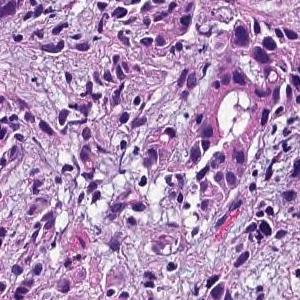
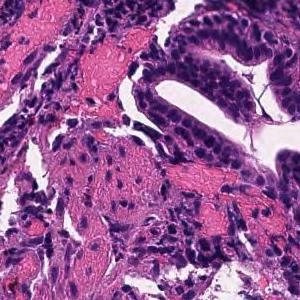
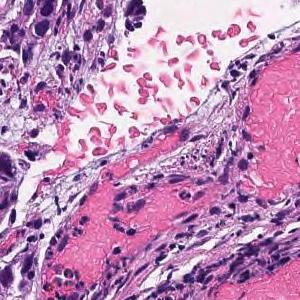
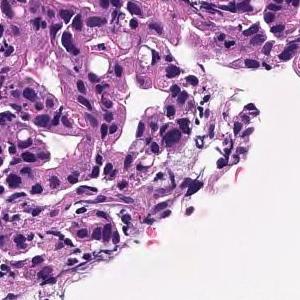
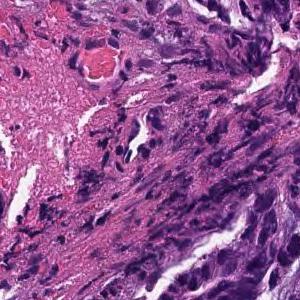
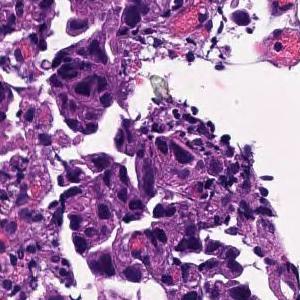
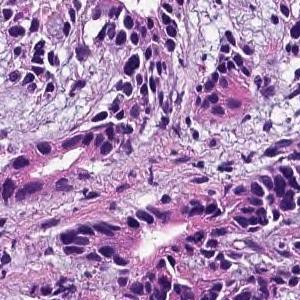
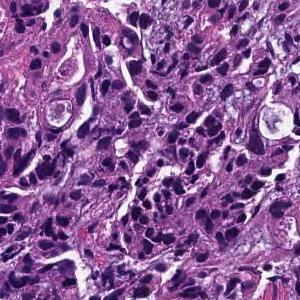
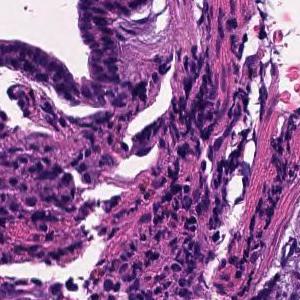
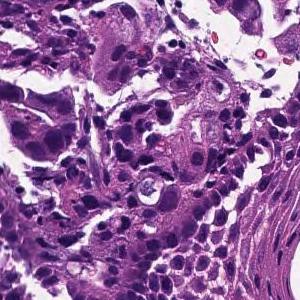
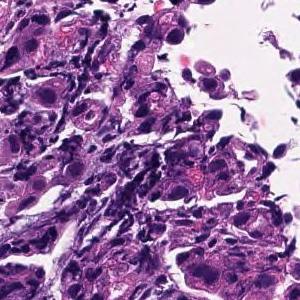
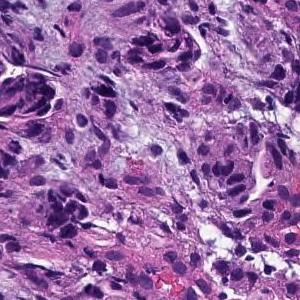
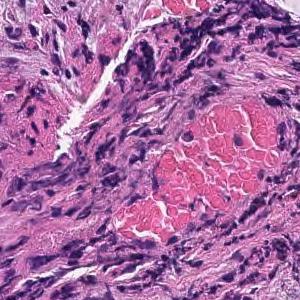
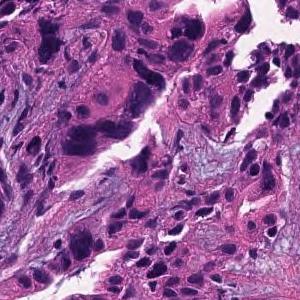
14 tiles from the same stomach biopsy slide; 300 × 300 pixels each; ×20; H&E stain.
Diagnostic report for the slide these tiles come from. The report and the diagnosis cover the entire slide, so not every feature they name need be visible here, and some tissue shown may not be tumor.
Tumor tissue consisting of cord-like or small, irregular glandular ducts fused and infiltrated is observed in the superficial epithelium. Poorly differentiated adenocarcinoma, non-solid type
"Non-solid type" is a category of the Japanese Classification of Gastric Carcinoma.
